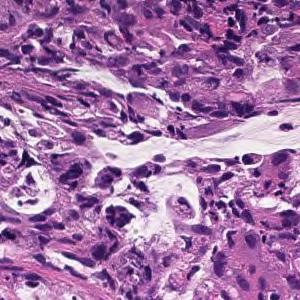
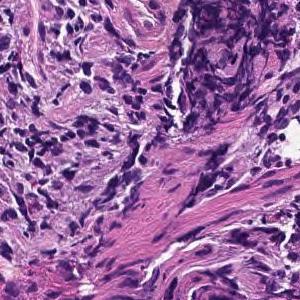
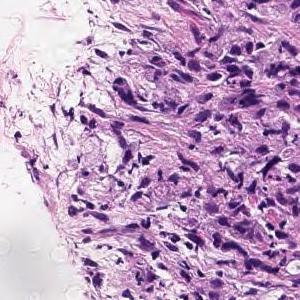
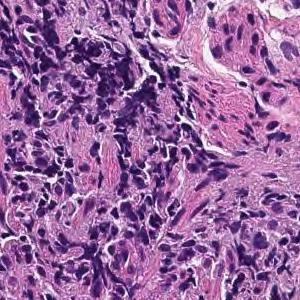
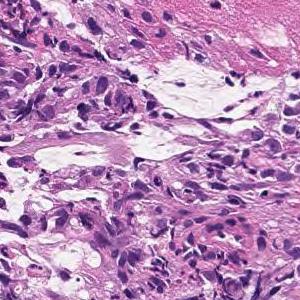
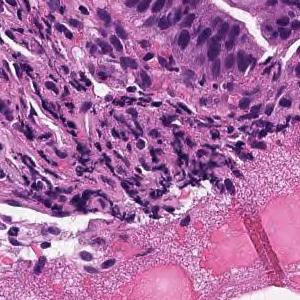
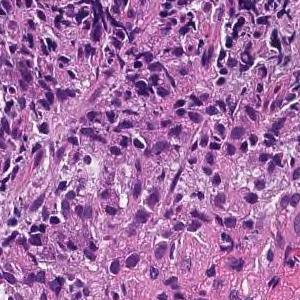
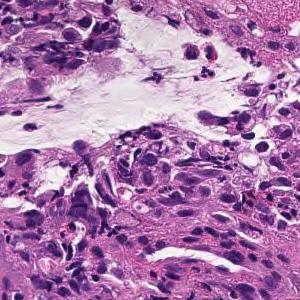
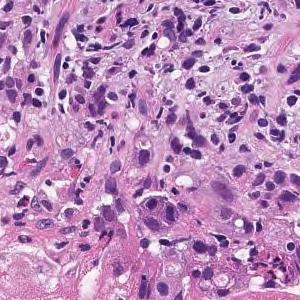
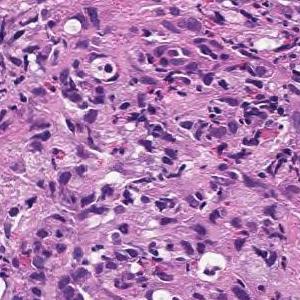
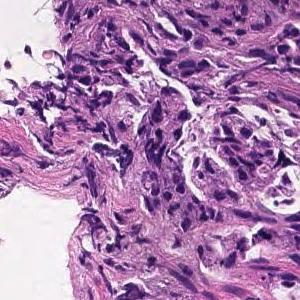
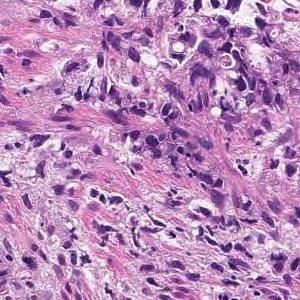
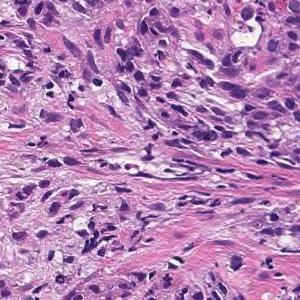
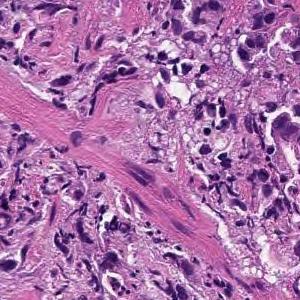
H&E; 20× magnification; 14 patches cut from one gastric biopsy slide.
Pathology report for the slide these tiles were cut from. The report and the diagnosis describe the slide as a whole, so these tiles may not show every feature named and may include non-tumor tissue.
Tumor tissue consisting of cord-like or small, irregular glandular ducts fused and infiltrated is observed in the superficial epithelium. Poorly differentiated adenocarcinoma, non-solid type
The non-solid type named here is a Japanese Classification of Gastric Carcinoma category.
